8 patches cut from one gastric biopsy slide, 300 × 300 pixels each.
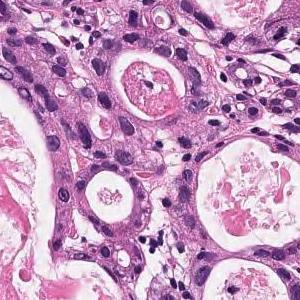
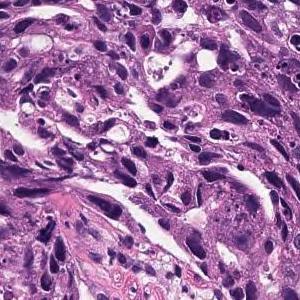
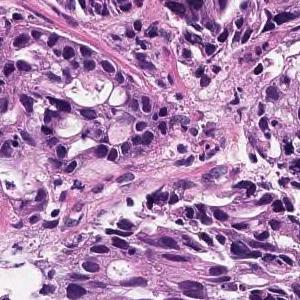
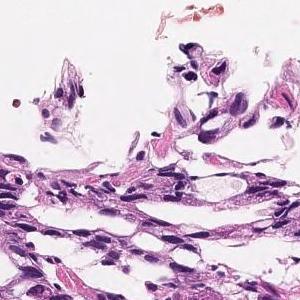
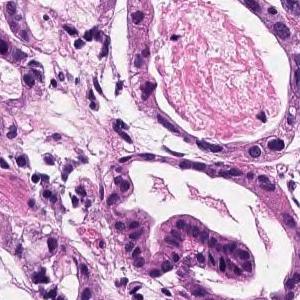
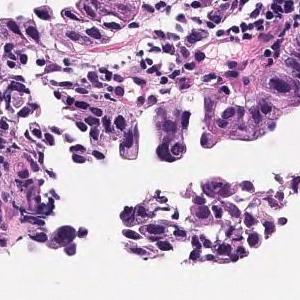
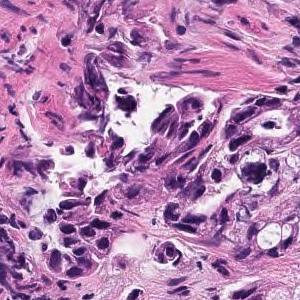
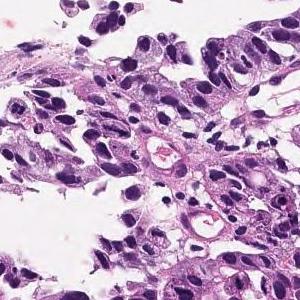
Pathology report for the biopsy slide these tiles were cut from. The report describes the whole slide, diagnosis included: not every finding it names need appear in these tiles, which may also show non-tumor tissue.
In the superficial epithelium, tumor tissue that invades by forming medium-sized to small, irregular ducts is observed. Moderately differentiated adenocarcinoma.
Tumor subtype: moderately differentiated tubular adenocarcinoma.
